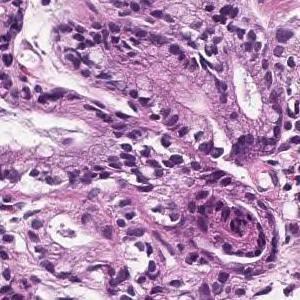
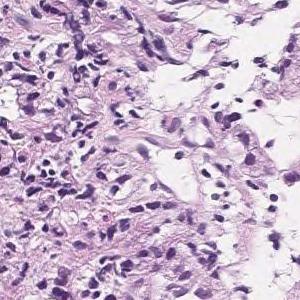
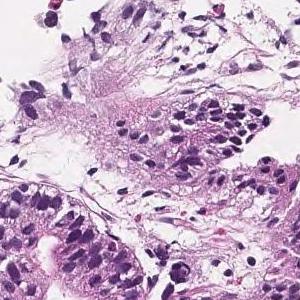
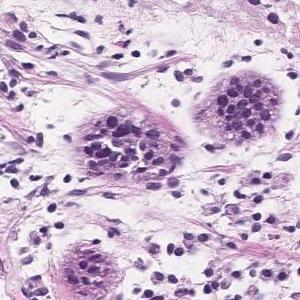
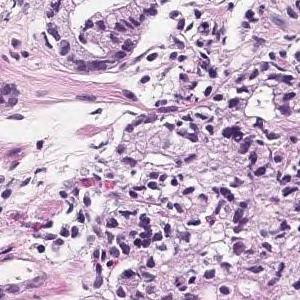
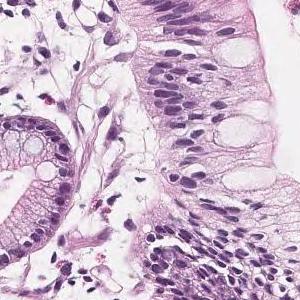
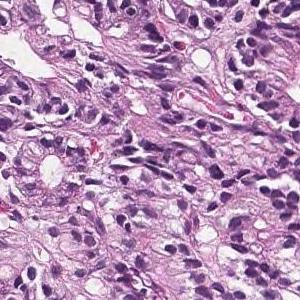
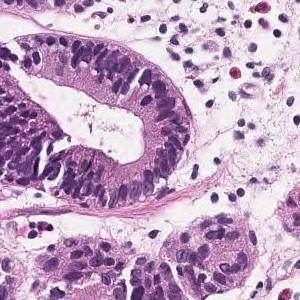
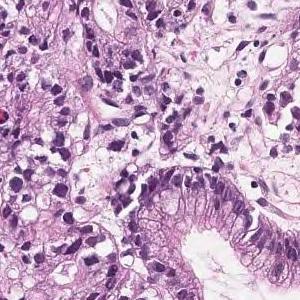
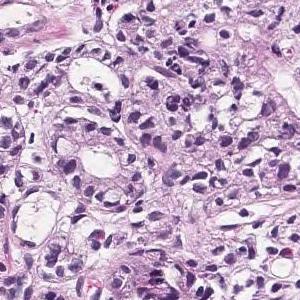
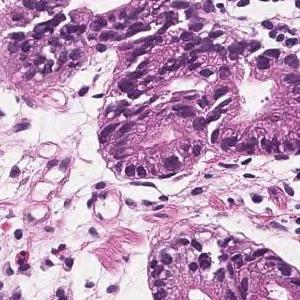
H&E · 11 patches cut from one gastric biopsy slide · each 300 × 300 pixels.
Pathology report for the slide these tiles were cut from. Both the report and the diagnosis are for the whole slide: these tiles need not show every feature named, and some of the tissue shown may not be tumor.
In the superficial epithelium, tumor tissue that invades by forming medium-sized to small, irregular ducts is observed. Well differentiated tubular adenocarcinoma.
